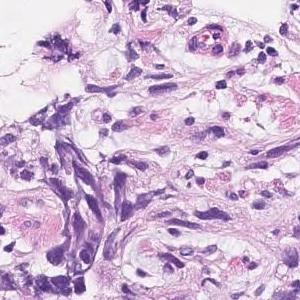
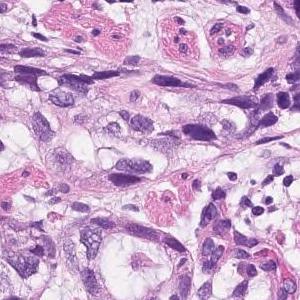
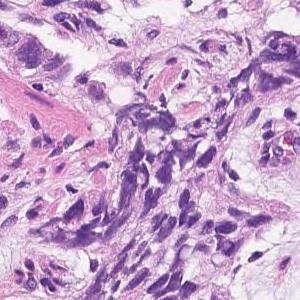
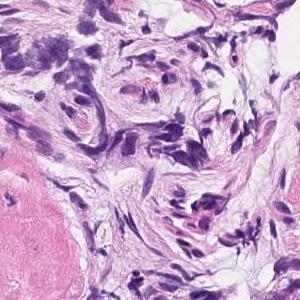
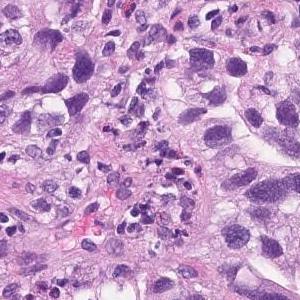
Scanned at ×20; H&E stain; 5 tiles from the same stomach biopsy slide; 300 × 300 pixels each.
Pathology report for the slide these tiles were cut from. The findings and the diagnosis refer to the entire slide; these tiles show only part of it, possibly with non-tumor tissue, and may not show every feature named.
In the superficial epithelium, tumor tissue that invades by forming medium-sized to small, irregular ducts is observed. Moderately differentiated adenocarcinoma.
Histologic type: Moderately differentiated tubular adenocarcinoma.
